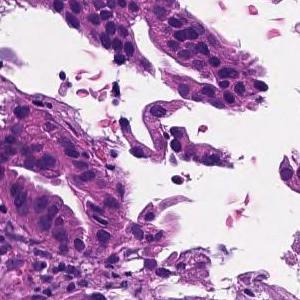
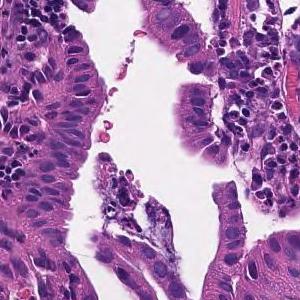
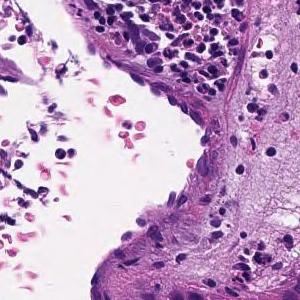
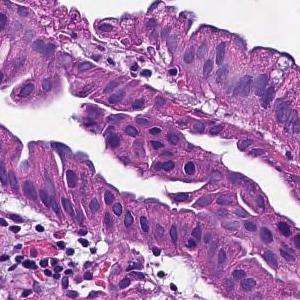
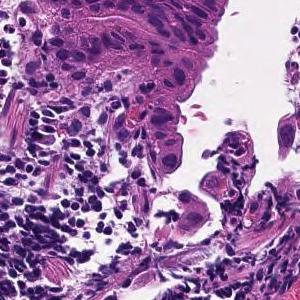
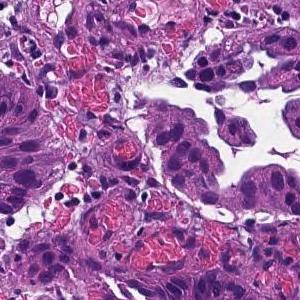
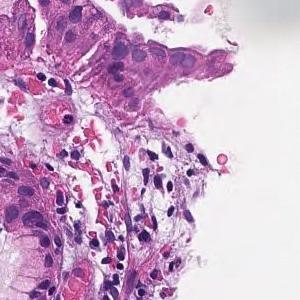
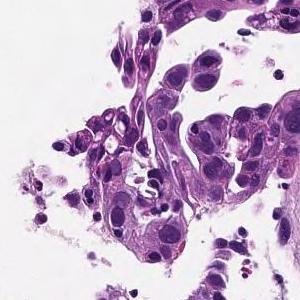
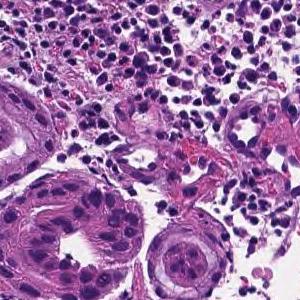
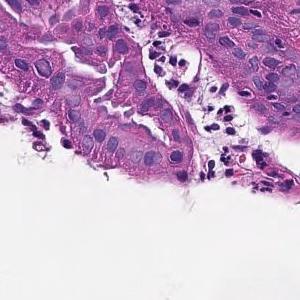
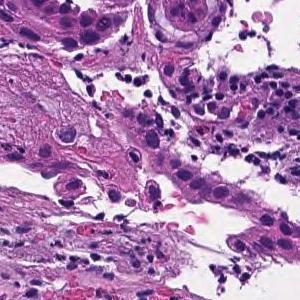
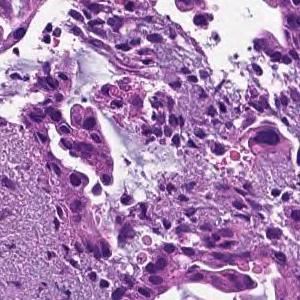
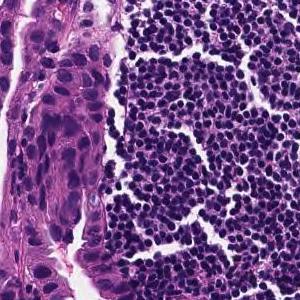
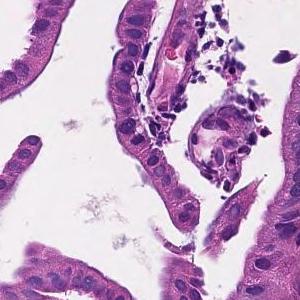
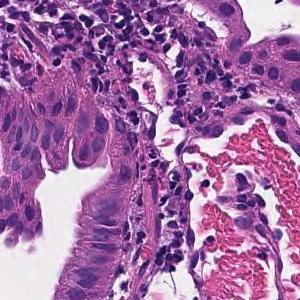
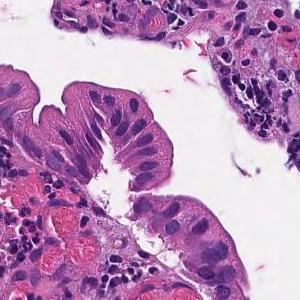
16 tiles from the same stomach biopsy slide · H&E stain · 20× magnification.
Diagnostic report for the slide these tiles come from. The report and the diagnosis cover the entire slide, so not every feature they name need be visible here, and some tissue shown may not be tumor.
On the superficial epithelium, tumor tissue that infiltrates by forming medium-sized papillary or small irregular ducts is observed. Papillary adenocarcinoma
